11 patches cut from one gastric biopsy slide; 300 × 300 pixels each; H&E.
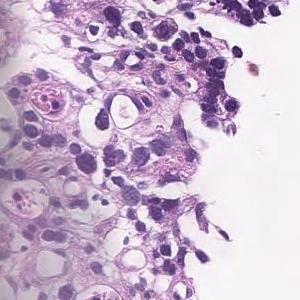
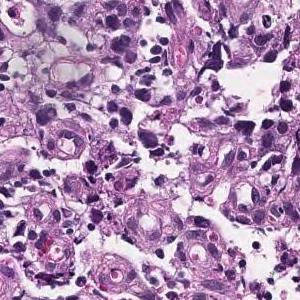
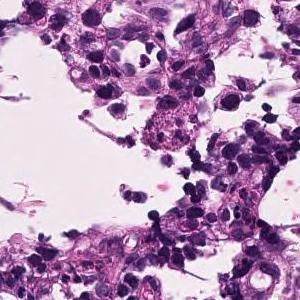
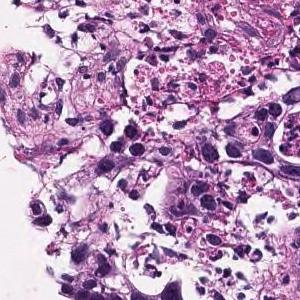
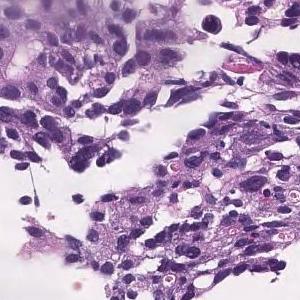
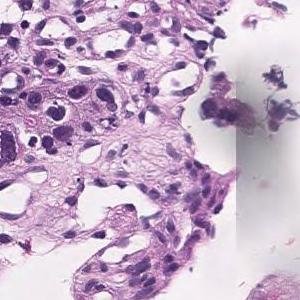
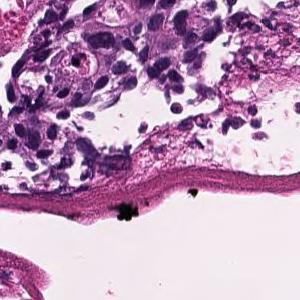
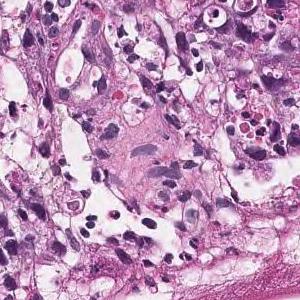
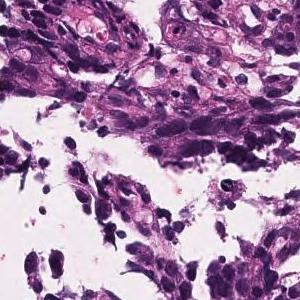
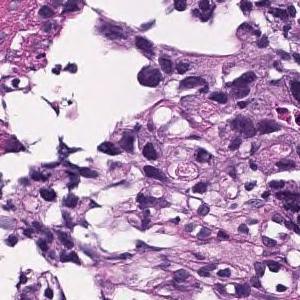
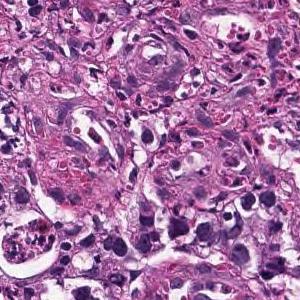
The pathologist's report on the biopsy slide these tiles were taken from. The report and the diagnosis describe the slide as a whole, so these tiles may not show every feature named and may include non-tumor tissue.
Tumor tissue consisting of medium-sized, cord-like or irregular glandular infiltration is observed in the superficial epithelium. Poorly differentiated adenocarcinoma, non-solid type or moderately differentiated tubular adenocarcinoma
"Non-solid type" is a category of the Japanese Classification of Gastric Carcinoma.
